16 image tiles from a single gastric biopsy slide; H&E stain.
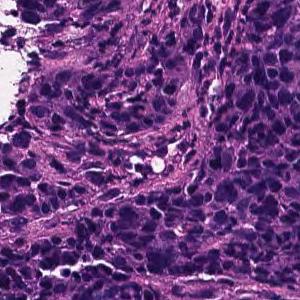
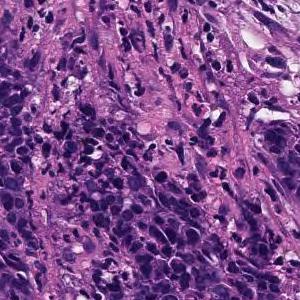
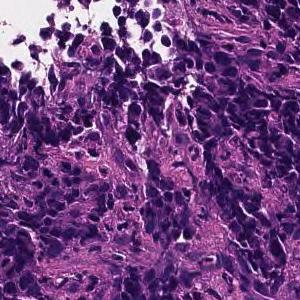
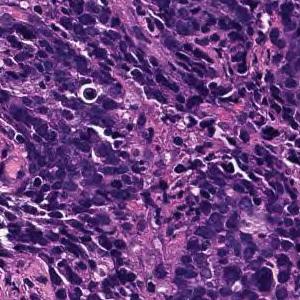
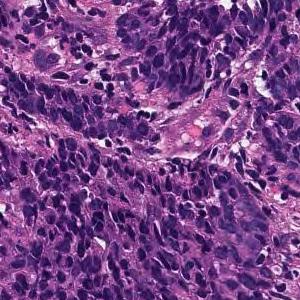
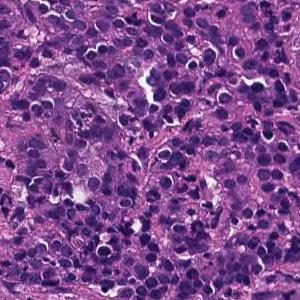
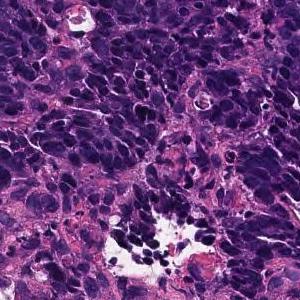
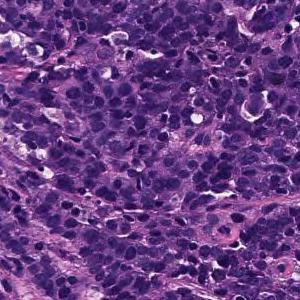
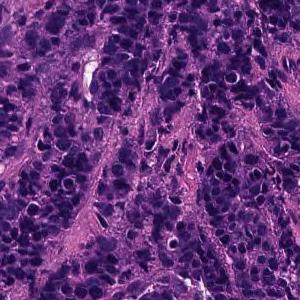
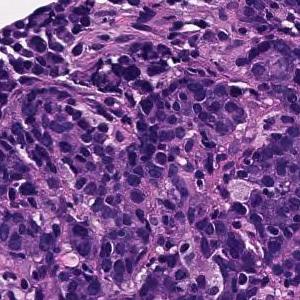
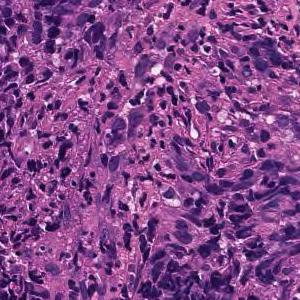
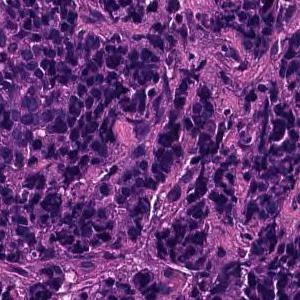
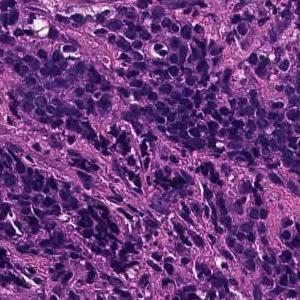
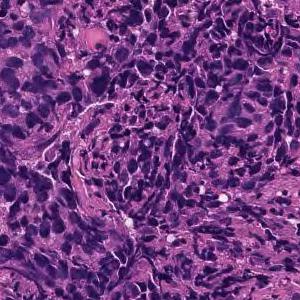
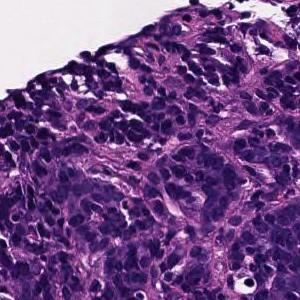
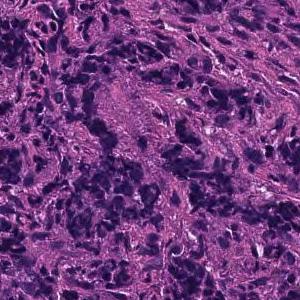
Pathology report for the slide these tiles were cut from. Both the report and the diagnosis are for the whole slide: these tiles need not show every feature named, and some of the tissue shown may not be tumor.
Tumor tissue consisting of cord-like or small, irregular glandular ducts fused and infiltrated is observed in the superficial epithelium. Poorly differentiated adenocarcinoma, non-solid type
The term "non-solid type" comes from the Japanese Classification of Gastric Carcinoma.
